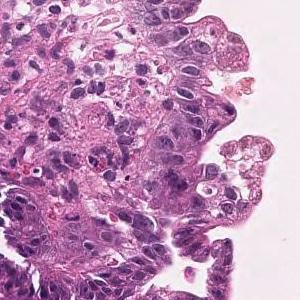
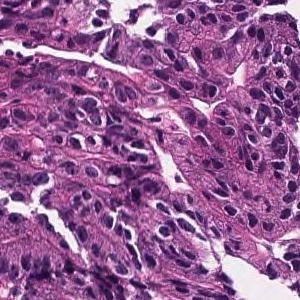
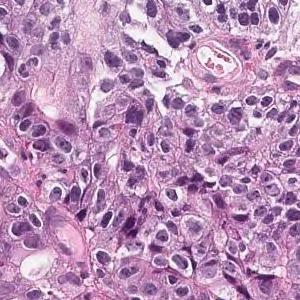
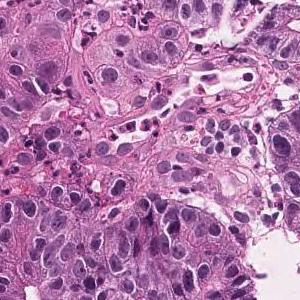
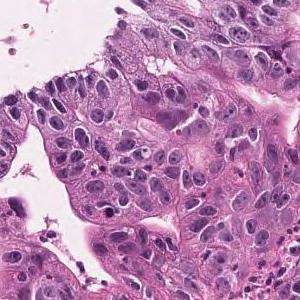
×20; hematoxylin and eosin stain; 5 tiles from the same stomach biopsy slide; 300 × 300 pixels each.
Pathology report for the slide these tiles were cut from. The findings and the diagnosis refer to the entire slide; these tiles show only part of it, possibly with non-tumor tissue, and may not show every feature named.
In the superficial epithelium, tumor tissue that invades by forming medium-sized to small, irregular ducts is observed. Well differentiated tubular adenocarcinoma.
